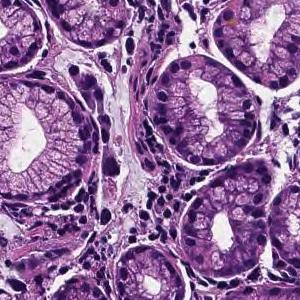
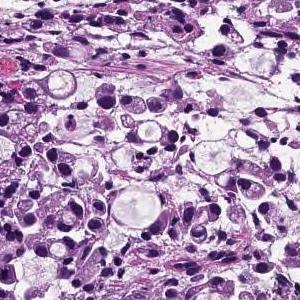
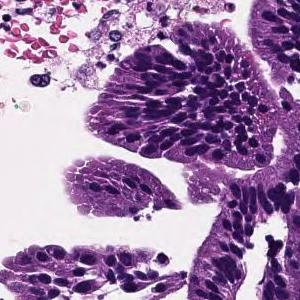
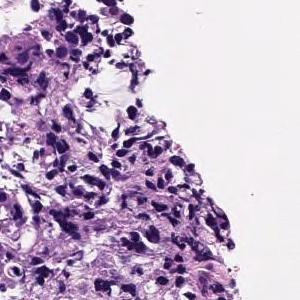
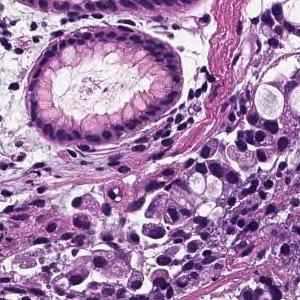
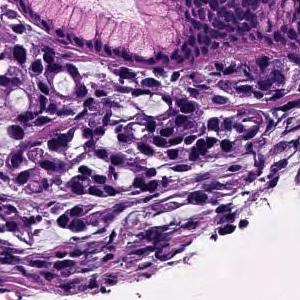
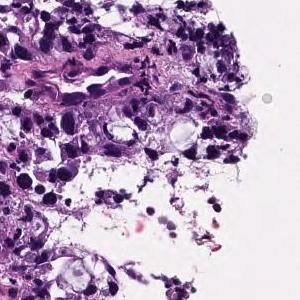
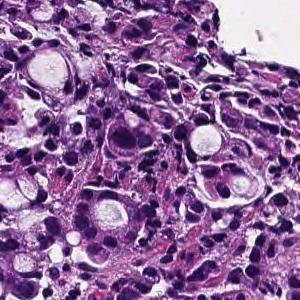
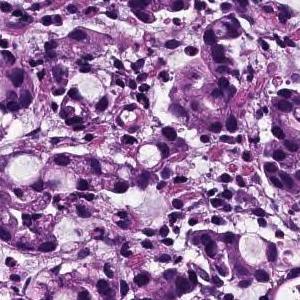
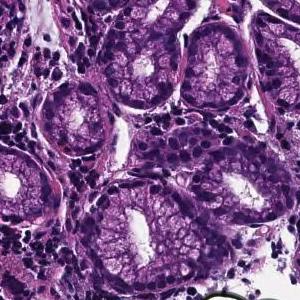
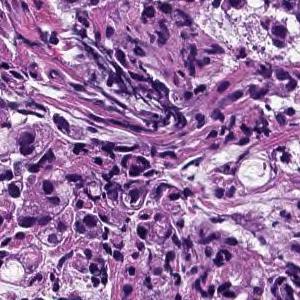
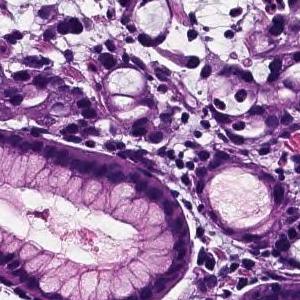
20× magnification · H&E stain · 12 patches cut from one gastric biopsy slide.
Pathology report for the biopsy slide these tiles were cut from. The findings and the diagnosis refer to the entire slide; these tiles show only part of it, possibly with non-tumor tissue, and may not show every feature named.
Tumor tissue consisting of cord-like or small, irregular glandular ducts fused and infiltrated is observed in the superficial epithelium. Poorly differentiated adenocarcinoma, non-solid type
"Non-solid type" is a category of the Japanese Classification of Gastric Carcinoma.
